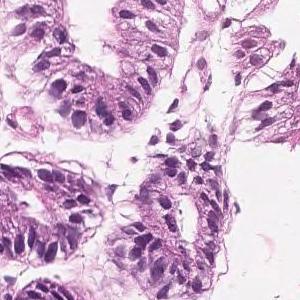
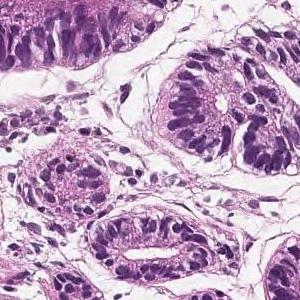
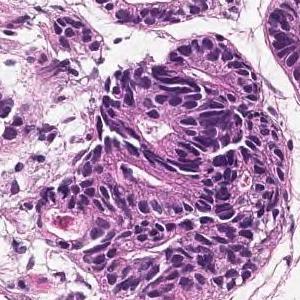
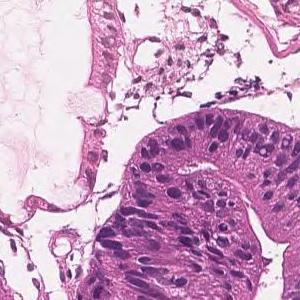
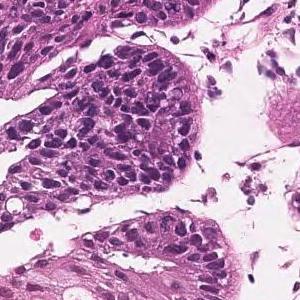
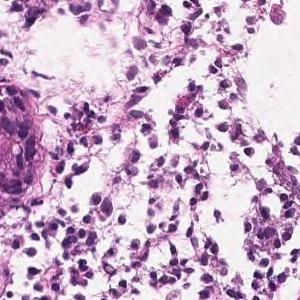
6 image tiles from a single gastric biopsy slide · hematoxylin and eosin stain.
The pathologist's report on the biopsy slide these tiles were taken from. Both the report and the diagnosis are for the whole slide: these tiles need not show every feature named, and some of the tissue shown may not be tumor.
In the superficial epithelium, tumor tissue that invades by forming medium-sized to small, irregular ducts is observed. Well differentiated tubular adenocarcinoma.
